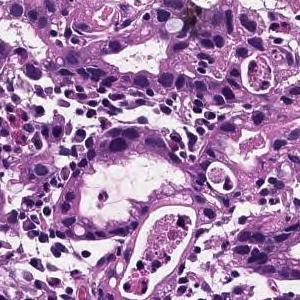
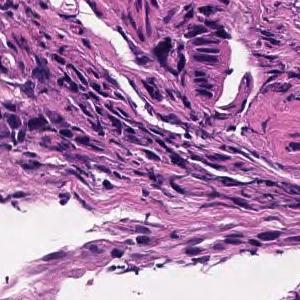
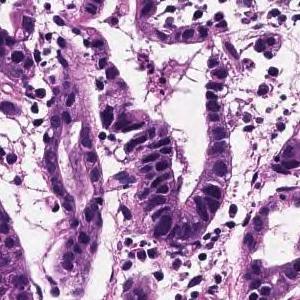
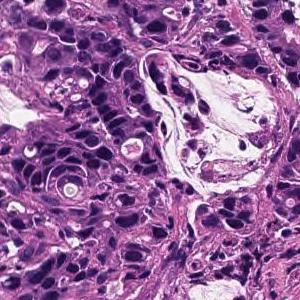
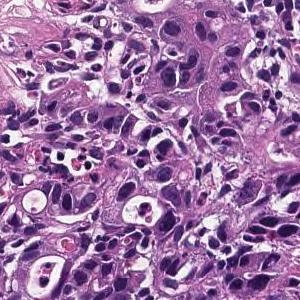
5 patches cut from one gastric biopsy slide, each 300 × 300 pixels, hematoxylin and eosin stain, 20× magnification.
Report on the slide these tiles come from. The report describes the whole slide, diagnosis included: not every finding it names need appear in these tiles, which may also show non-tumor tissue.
In the superficial epithelium, tumor tissue that invades by forming medium-sized to small, irregular ducts is observed. moderately differentiated tubular adenocarcinoma.
